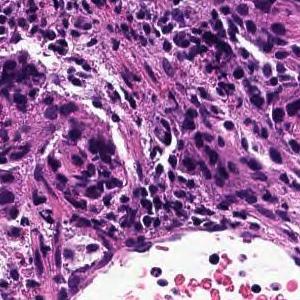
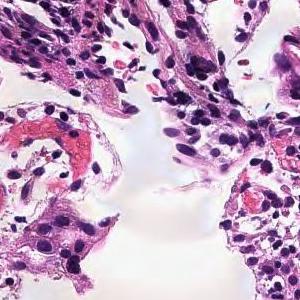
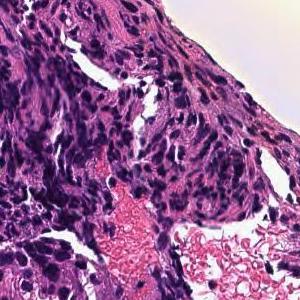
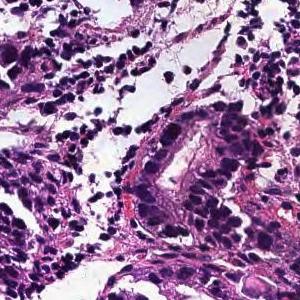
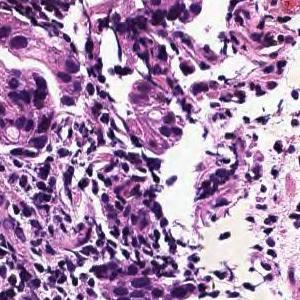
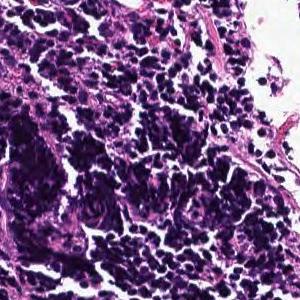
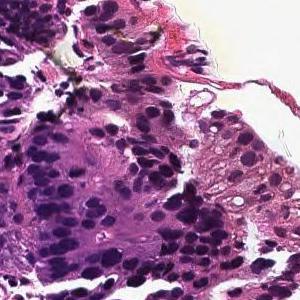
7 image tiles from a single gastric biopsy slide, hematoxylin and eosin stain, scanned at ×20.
Pathology report for the biopsy slide these tiles were cut from. The findings and the diagnosis refer to the entire slide; these tiles show only part of it, possibly with non-tumor tissue, and may not show every feature named.
In the superficial epithelium, tumor tissue that invades by forming medium-sized to small, irregular ducts is observed. moderately differentiated tubular adenocarcinoma.
